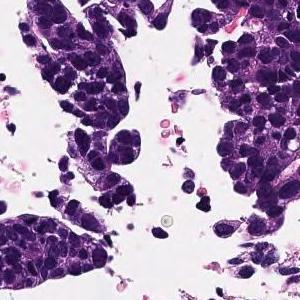
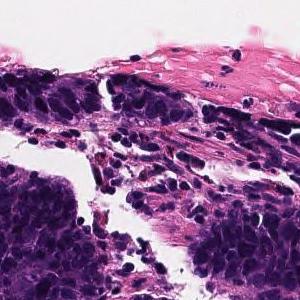
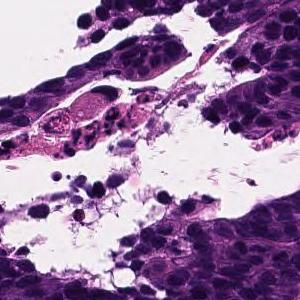
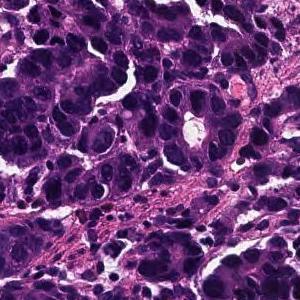
H&E; 4 tiles cut from one stomach biopsy slide; each 300 × 300 pixels.
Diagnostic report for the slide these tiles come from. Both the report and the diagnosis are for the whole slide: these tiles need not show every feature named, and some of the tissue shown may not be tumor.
In the superficial epithelium, tumor tissue that invades by forming medium-sized to small, irregular ducts is observed. moderately differentiated tubular adenocarcinoma.
